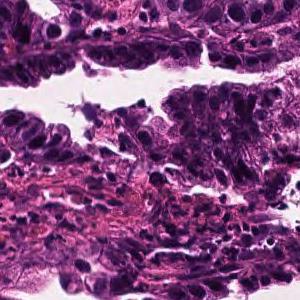
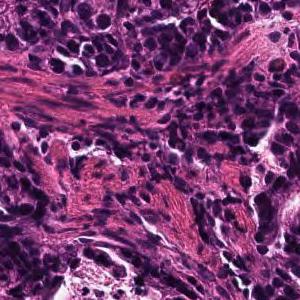
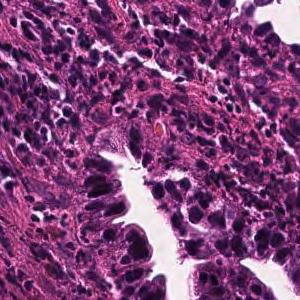
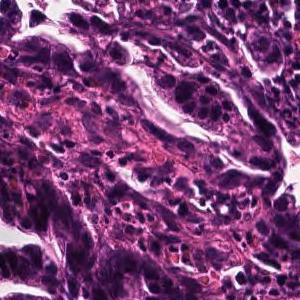
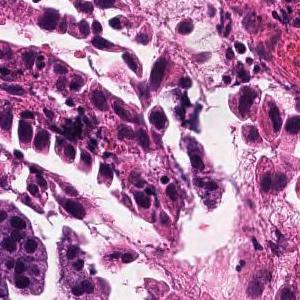
5 image tiles from a single gastric biopsy slide.
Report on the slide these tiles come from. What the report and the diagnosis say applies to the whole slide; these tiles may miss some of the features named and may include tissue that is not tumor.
Tumor tissue consisting of large papillary structures is found in the superficial epithelium. Papillary adenocarcinoma.
